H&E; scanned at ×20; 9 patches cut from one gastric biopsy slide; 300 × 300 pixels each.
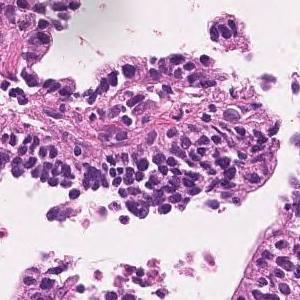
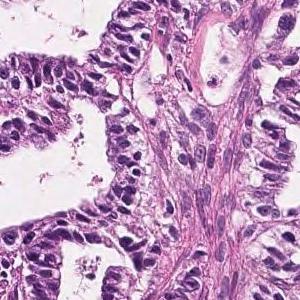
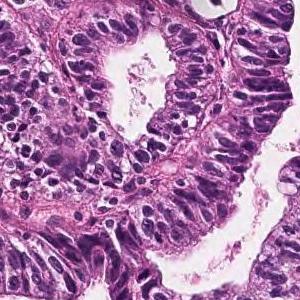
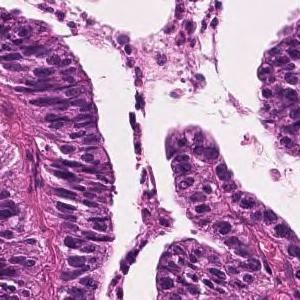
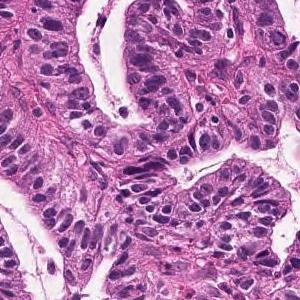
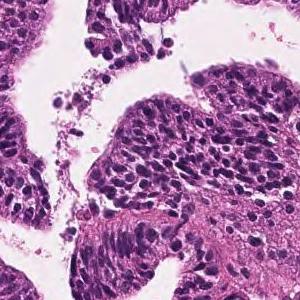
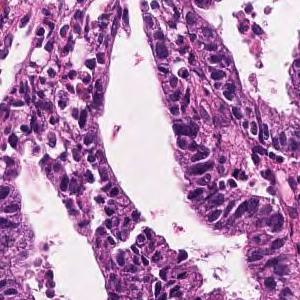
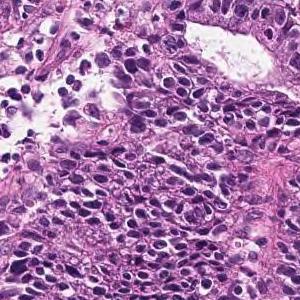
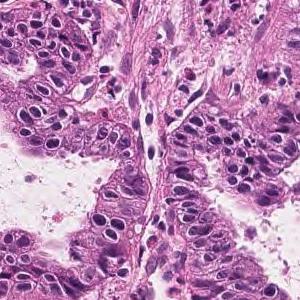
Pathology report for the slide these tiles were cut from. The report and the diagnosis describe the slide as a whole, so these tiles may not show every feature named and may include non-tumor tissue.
Tumor cells are large, highly columnar, large club-shaped nuclei, and are associated with chromatin aggregation. Papillary adenocarcinoma.
